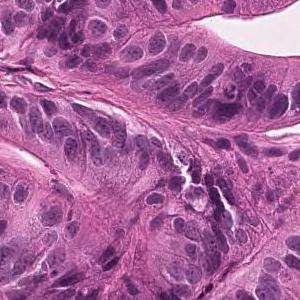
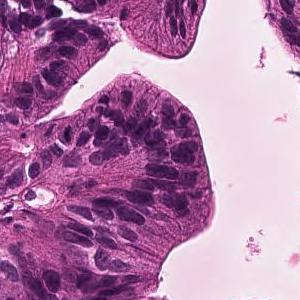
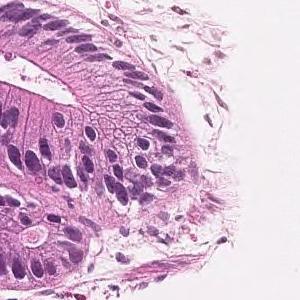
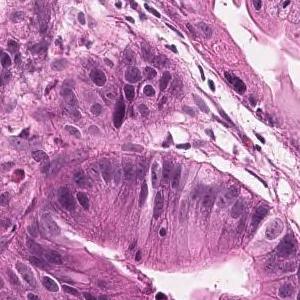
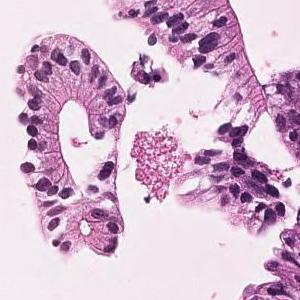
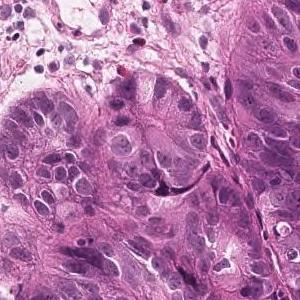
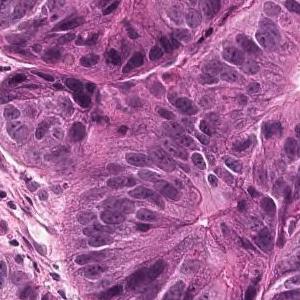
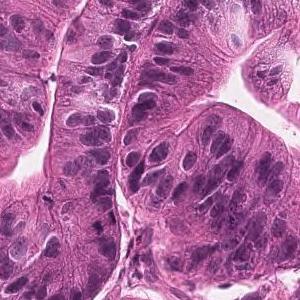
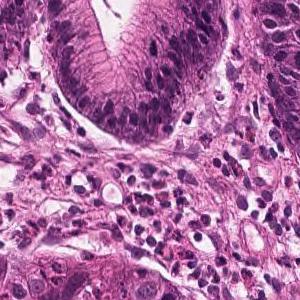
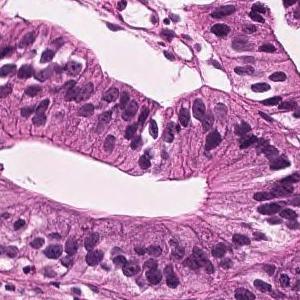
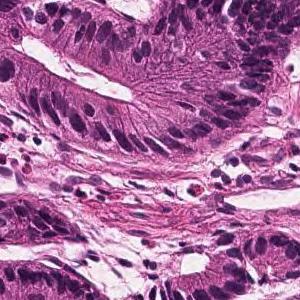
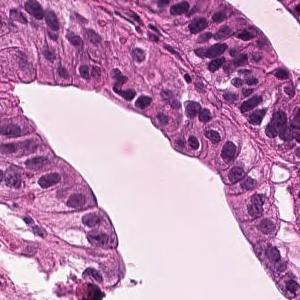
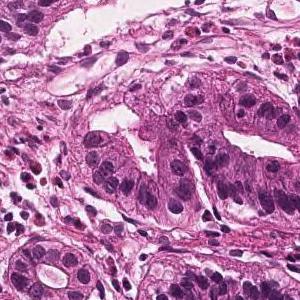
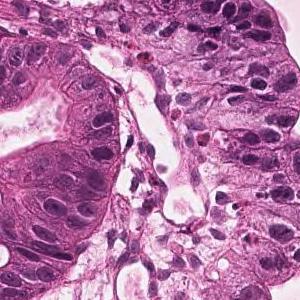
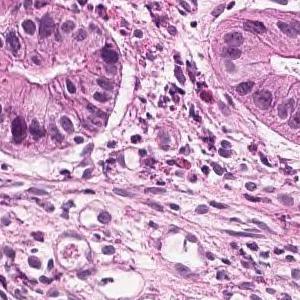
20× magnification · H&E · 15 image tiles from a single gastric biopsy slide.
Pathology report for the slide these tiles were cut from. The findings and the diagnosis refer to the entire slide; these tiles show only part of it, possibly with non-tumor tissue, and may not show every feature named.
Tumor tissue consisting of medium-sized and irregular ducts is observed infiltrating in the superficial epithelium. Tumor cells are highly columnar, with nuclei aligned basolaterally and polarized. Well differentiated tubular adenocarcinoma.
